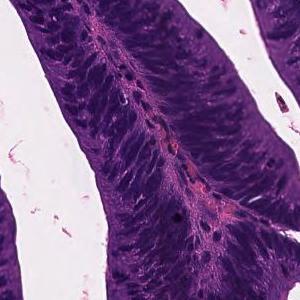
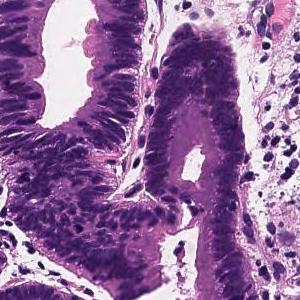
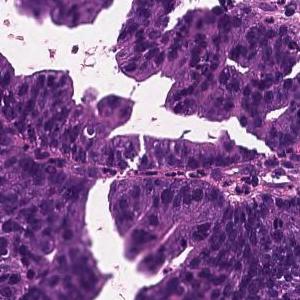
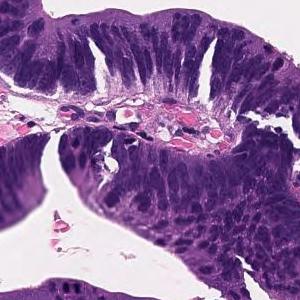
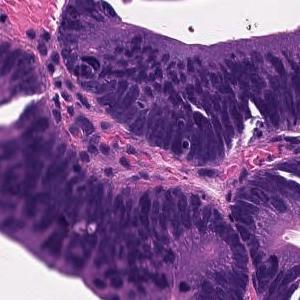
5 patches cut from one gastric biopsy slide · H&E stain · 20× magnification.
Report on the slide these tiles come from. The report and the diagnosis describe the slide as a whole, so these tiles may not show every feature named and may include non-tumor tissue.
Tumor tissue consisting of large papillary structures is found in the superficial epithelium. Papillary adenocarcinoma.
